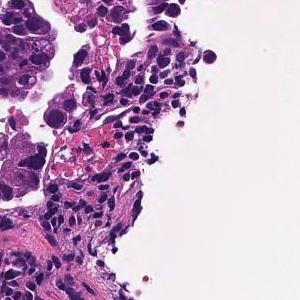
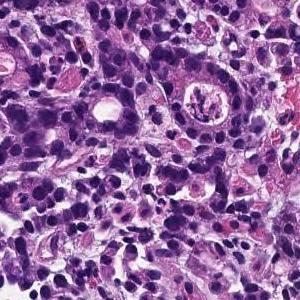
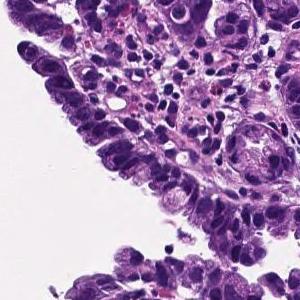
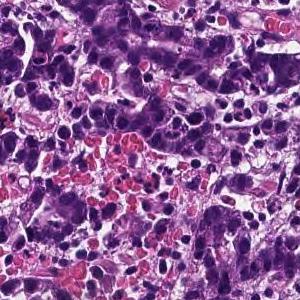
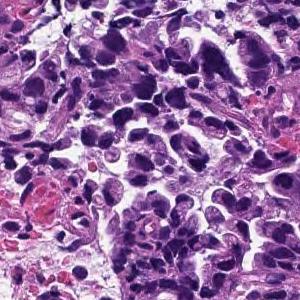
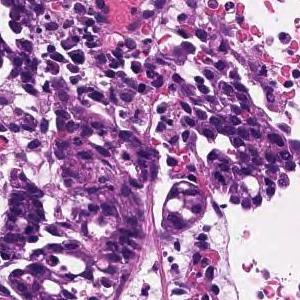
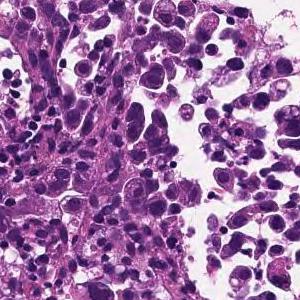
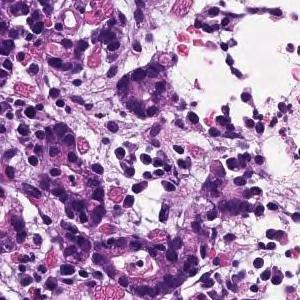
H&E stain · scanned at ×20 · 8 tiles cut from one stomach biopsy slide · 300 × 300 pixels each.
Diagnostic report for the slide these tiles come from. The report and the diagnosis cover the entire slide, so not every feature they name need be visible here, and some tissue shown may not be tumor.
In the superficial epithelium, tumor tissue that invades by forming medium-sized to small, irregular ducts is observed. moderately differentiated tubular adenocarcinoma.
